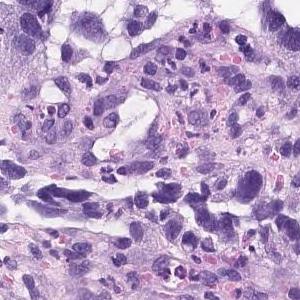
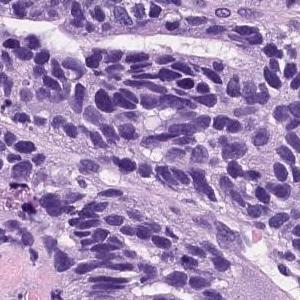
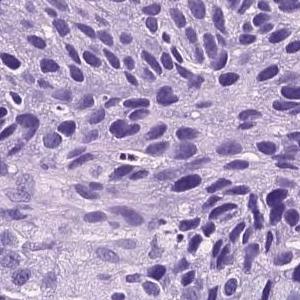
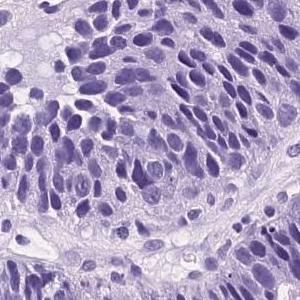
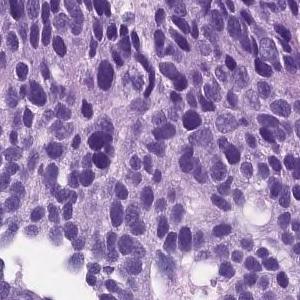
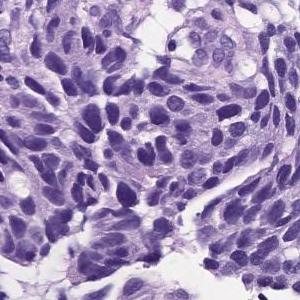
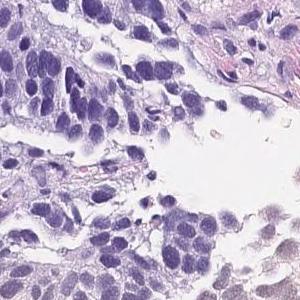
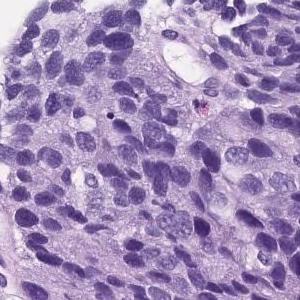
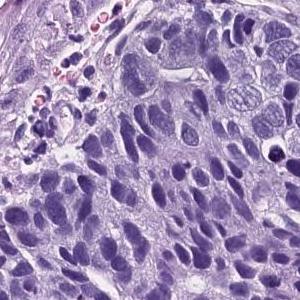
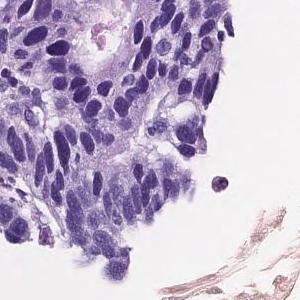
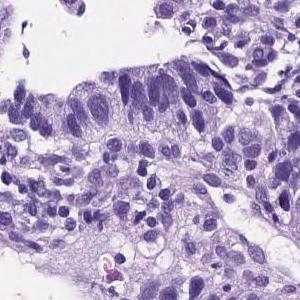
H&E, 11 patches cut from one gastric biopsy slide.
Diagnostic report for the slide these tiles come from. The report and the diagnosis cover the entire slide, so not every feature they name need be visible here, and some tissue shown may not be tumor.
Atypical cells with atypical nuclei forming small irregular atypical ducts and growing in a conformative manner. moderately differentiated tubular adenocarcinoma
Dataset label: moderately to poorly differentiated adenocarcinoma.
